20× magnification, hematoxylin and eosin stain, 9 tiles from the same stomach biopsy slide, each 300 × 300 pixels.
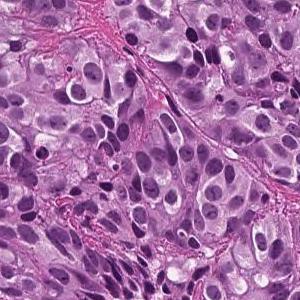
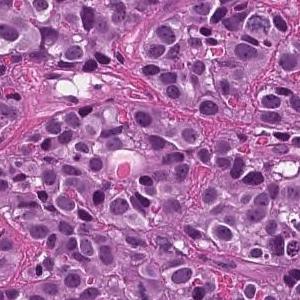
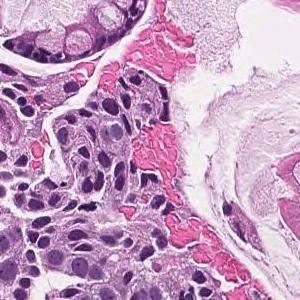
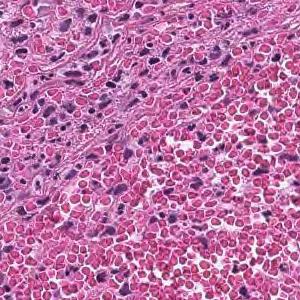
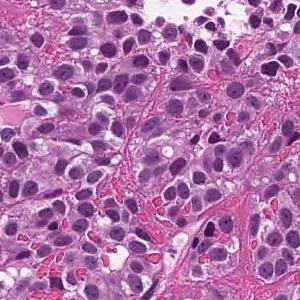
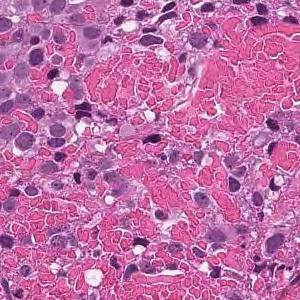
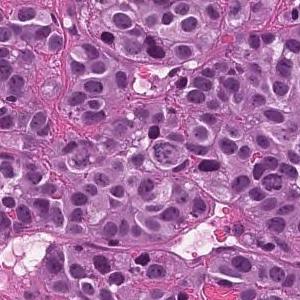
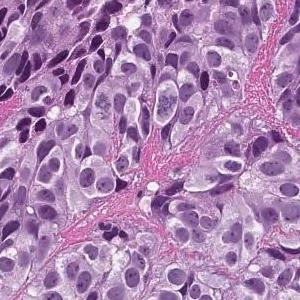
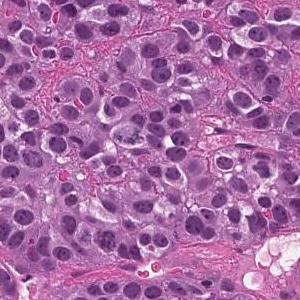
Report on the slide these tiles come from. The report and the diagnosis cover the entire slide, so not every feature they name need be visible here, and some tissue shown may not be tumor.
The superficial epithelium shows a large sheet-like shape, and some tumor tissue infiltrates with small irregular ducts. Poorly differentiated adenocarcinoma, solid-type
Tumor subtype: poorly differentiated adenocarcinoma, solid type, a category of the Japanese Classification of Gastric Carcinoma; in the WHO 2019 classification it is tubular adenocarcinoma, poorly differentiated.
